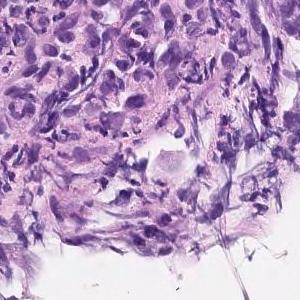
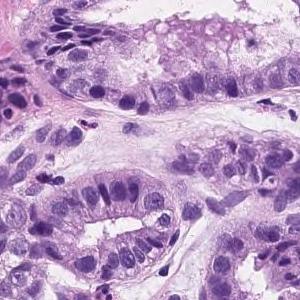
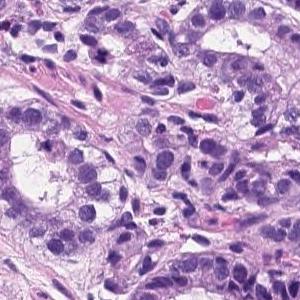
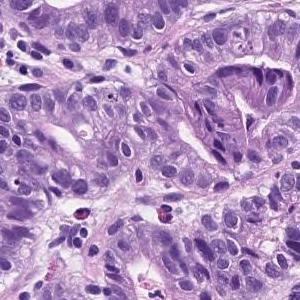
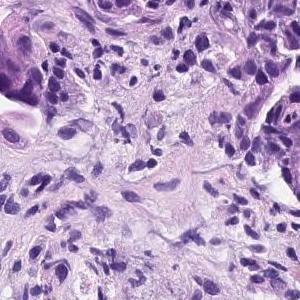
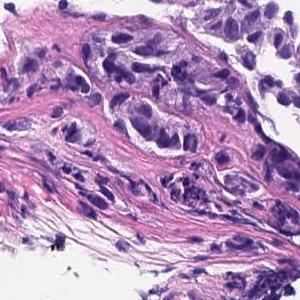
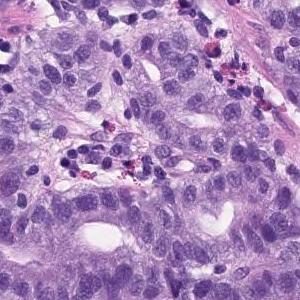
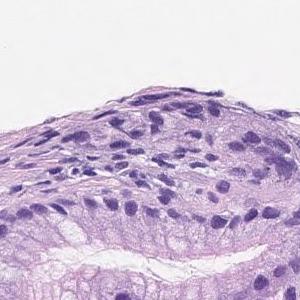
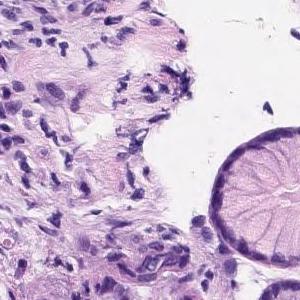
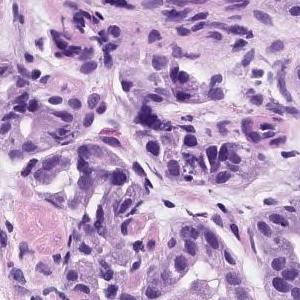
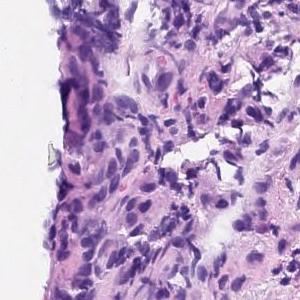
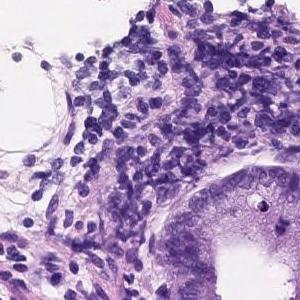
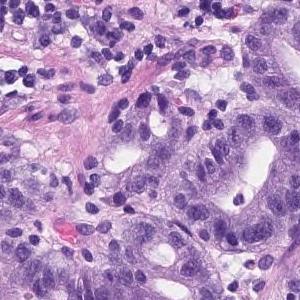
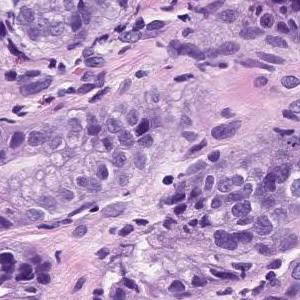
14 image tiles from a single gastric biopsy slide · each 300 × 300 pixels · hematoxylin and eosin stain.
Report on the slide these tiles come from. The report describes the whole slide, diagnosis included: not every finding it names need appear in these tiles, which may also show non-tumor tissue.
Tumor tissue consisting of medium-sized and irregular ducts is observed infiltrating in the superficial epithelium. Tumor cells are highly columnar, with nuclei aligned basolaterally and polarized. Well differentiated tubular adenocarcinoma.
